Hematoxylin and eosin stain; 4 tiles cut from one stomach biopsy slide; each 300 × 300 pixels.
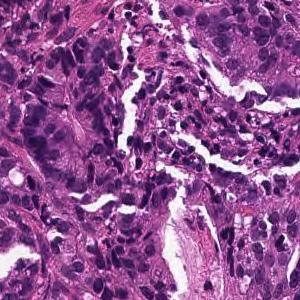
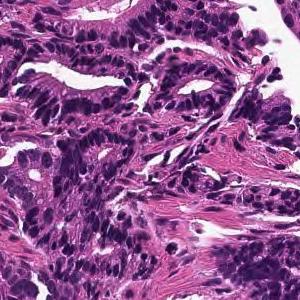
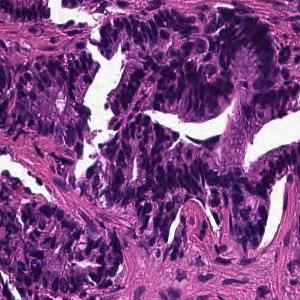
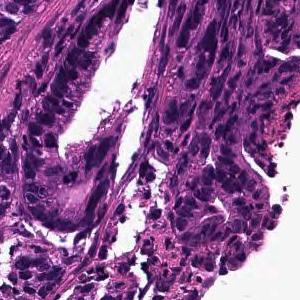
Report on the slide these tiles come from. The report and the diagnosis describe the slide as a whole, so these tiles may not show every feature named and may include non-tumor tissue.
In the superficial epithelium, tumor tissue that invades by forming medium-sized to small, irregular ducts is observed. moderately differentiated tubular adenocarcinoma.
